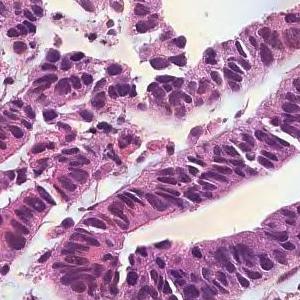
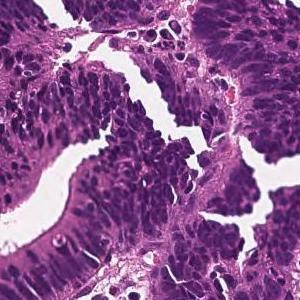
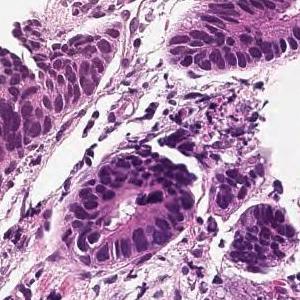
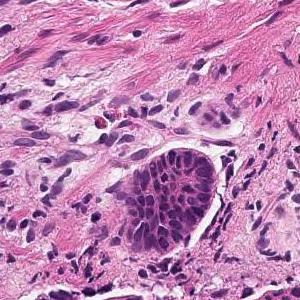
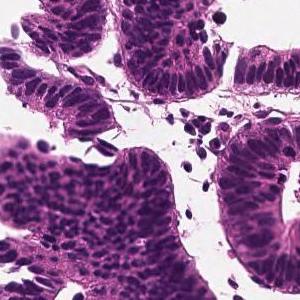
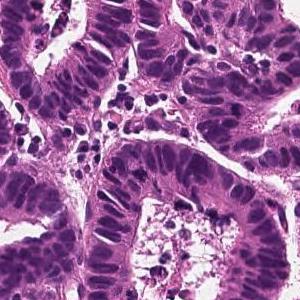
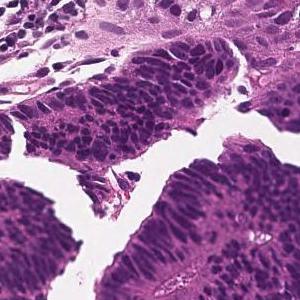
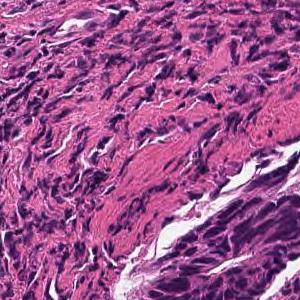
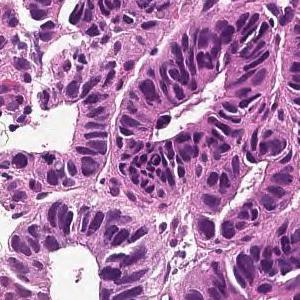
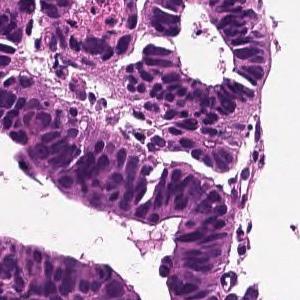
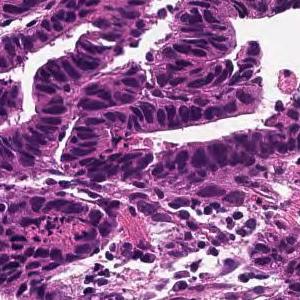
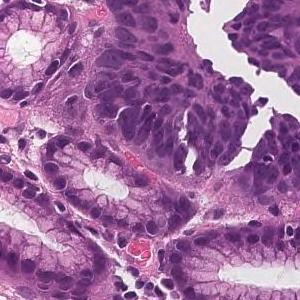
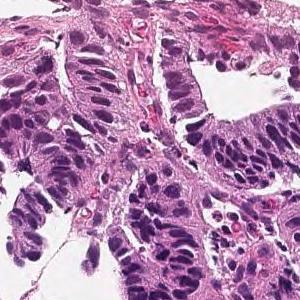
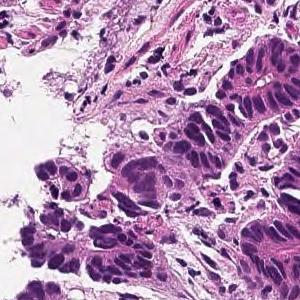
14 tiles cut from one stomach biopsy slide · 300×300 px each · ×20 · H&E stain.
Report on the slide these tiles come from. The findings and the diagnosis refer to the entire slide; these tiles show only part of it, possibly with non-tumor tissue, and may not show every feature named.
From the superficial epithelium to the muscularis mucosae, tumor tissue consisting of medium-sized and irregular glandular ducts infiltrating is observed. Well differentiated tubular adenocarcinoma
